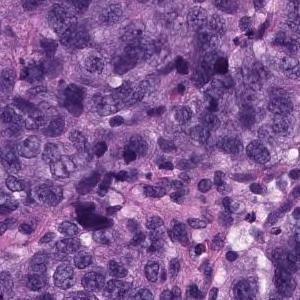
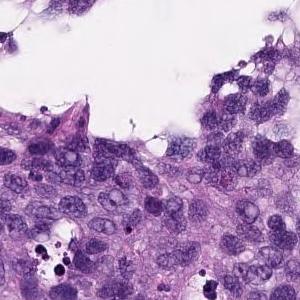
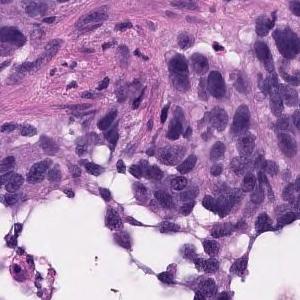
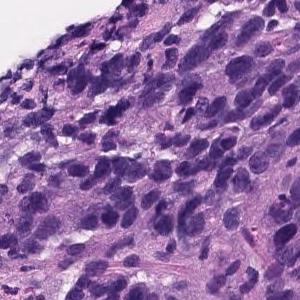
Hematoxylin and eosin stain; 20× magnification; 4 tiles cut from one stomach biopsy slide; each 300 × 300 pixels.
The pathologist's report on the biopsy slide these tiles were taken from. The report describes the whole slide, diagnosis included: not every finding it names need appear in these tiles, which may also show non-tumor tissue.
Atypical l cells with atypical nuclei under the mucosa growing in isolation and scattered. Poorly differentiated adenocarcinoma (poorly differentiated adenocarcinoma, non-solid type)
Classified as poorly differentiated adenocarcinoma, non-solid type.
"Non-solid type" is a category of the Japanese Classification of Gastric Carcinoma.
